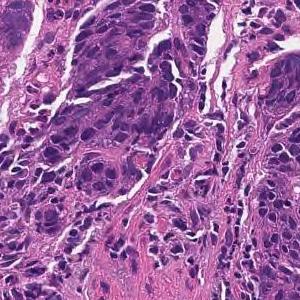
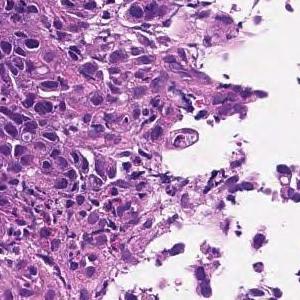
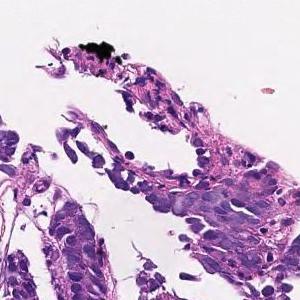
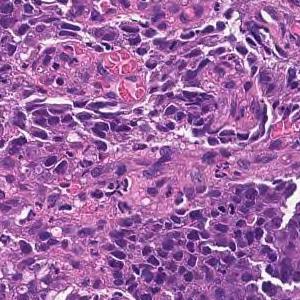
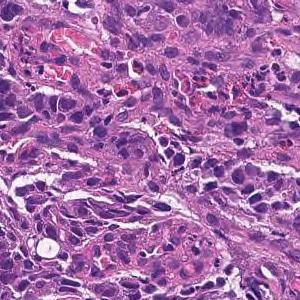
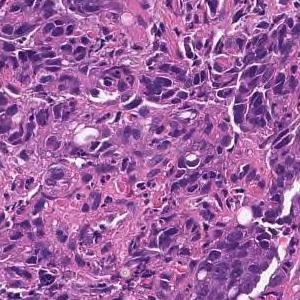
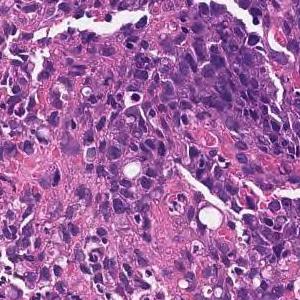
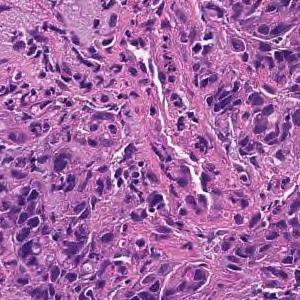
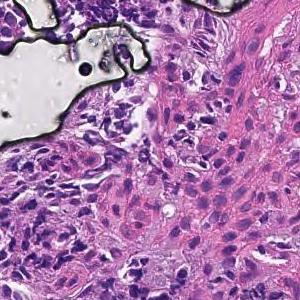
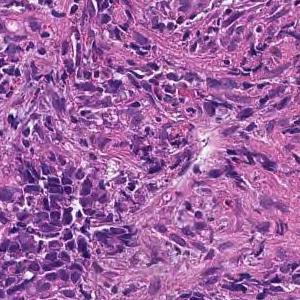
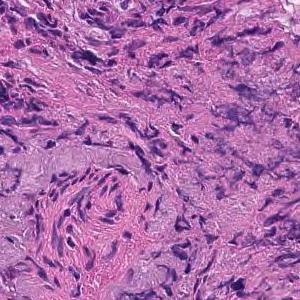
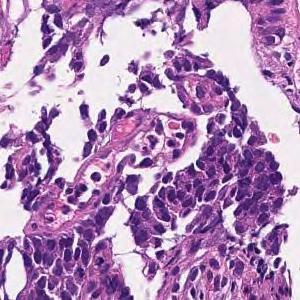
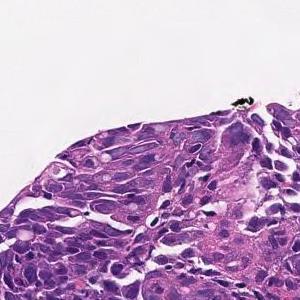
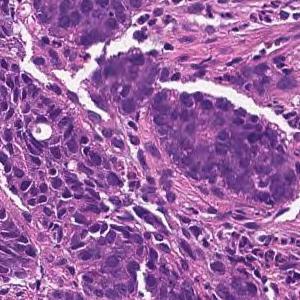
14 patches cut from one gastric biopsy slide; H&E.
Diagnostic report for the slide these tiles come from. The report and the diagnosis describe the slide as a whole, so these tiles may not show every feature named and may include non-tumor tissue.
Tumor tissue consisting of cord-like or small, irregular glandular ducts fused and infiltrated is observed in the superficial epithelium. Poorly differentiated adenocarcinoma, non-solid type
The term "non-solid type" comes from the Japanese Classification of Gastric Carcinoma.
